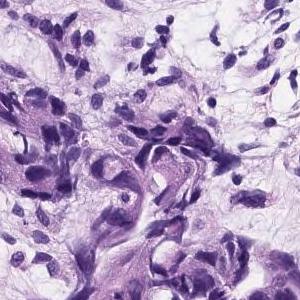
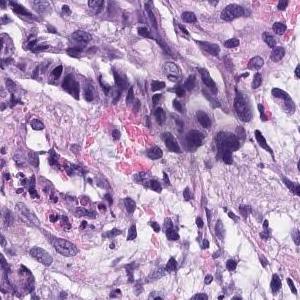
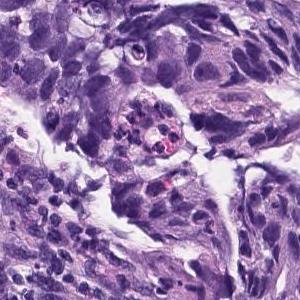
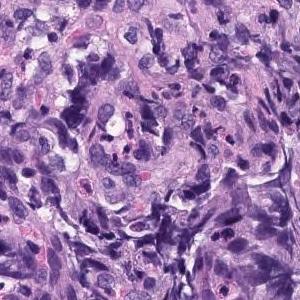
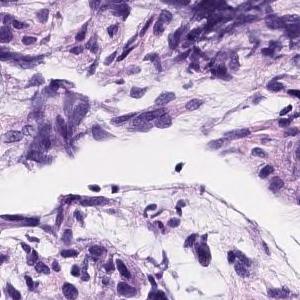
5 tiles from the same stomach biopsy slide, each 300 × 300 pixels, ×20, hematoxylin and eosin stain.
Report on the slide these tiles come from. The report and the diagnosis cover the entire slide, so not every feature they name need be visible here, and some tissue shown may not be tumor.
Atypical epithelial cells with an increased N/C ratio proliferate and consist of a part that shows the formation of gland ducts and a part that shows solid growth. Poorly differentiated adenocarcinoma, solid-type
Histological subtype: Poorly differentiated adenocarcinoma, solid type. This name comes from the Japanese Classification of Gastric Carcinoma; the WHO 2019 classification calls it tubular adenocarcinoma, poorly differentiated.
